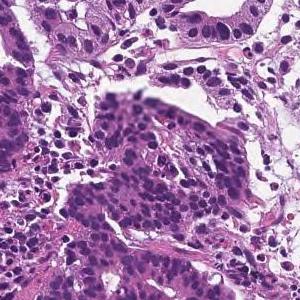
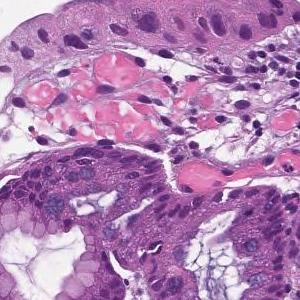
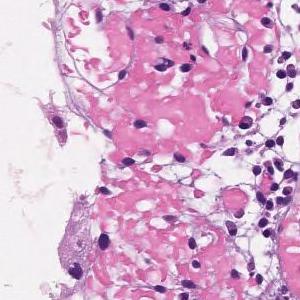
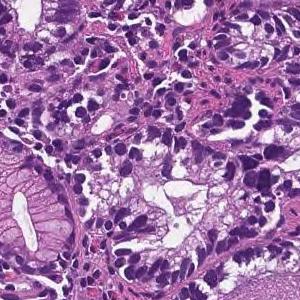
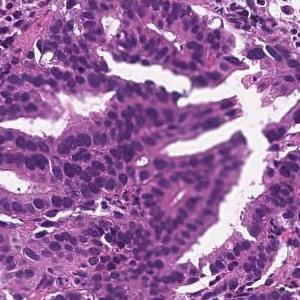
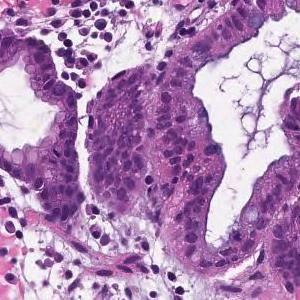
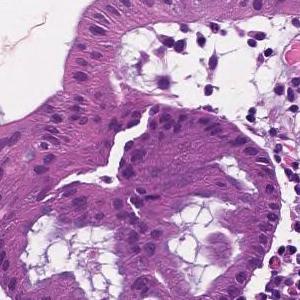
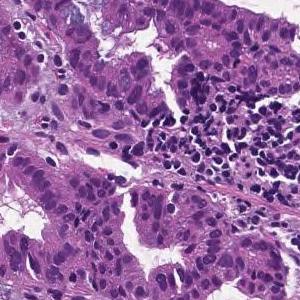
Hematoxylin and eosin stain, 8 image tiles from a single gastric biopsy slide, 300×300 px each.
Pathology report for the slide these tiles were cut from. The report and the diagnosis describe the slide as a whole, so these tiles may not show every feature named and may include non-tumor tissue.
From the superficial epithelium to the muscularis mucosae, tumor tissue consisting of medium-sized and irregular glandular ducts infiltrating is observed. Well differentiated tubular adenocarcinoma
